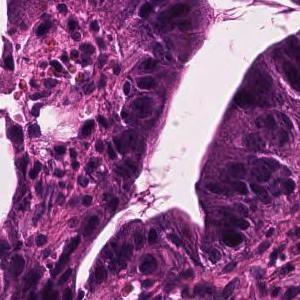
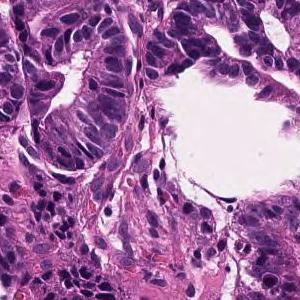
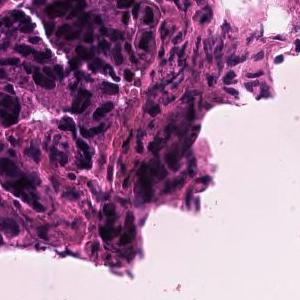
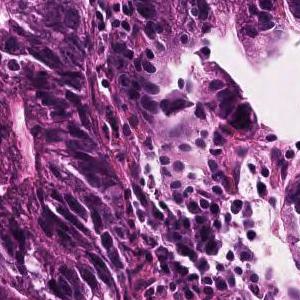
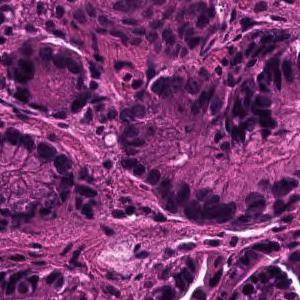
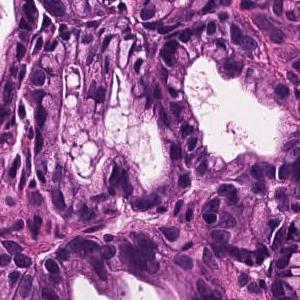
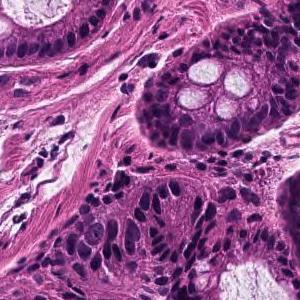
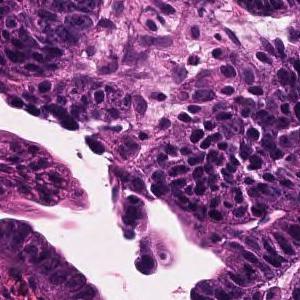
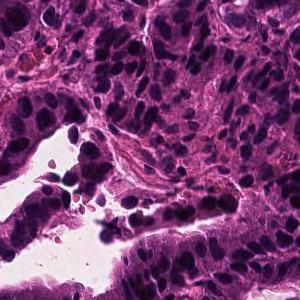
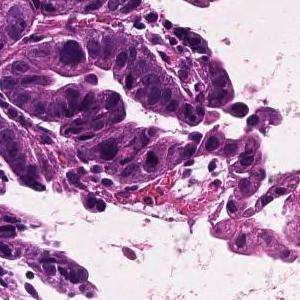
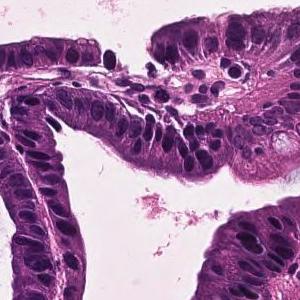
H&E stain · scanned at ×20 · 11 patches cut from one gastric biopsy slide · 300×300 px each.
Pathology report for the biopsy slide these tiles were cut from. The report and the diagnosis cover the entire slide, so not every feature they name need be visible here, and some tissue shown may not be tumor.
In the superficial epithelium, tumor tissue that invades by forming medium-sized to small, irregular ducts is observed. Well differentiated tubular adenocarcinoma.
